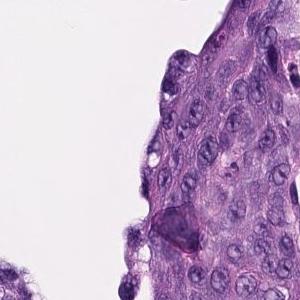
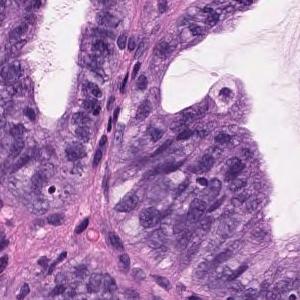
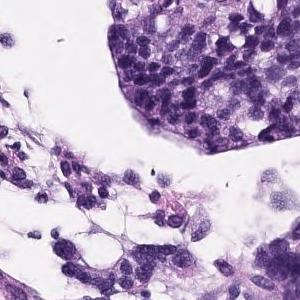
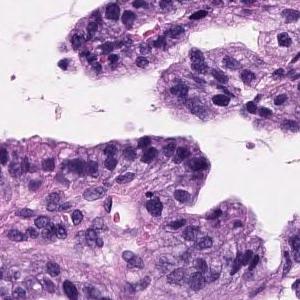
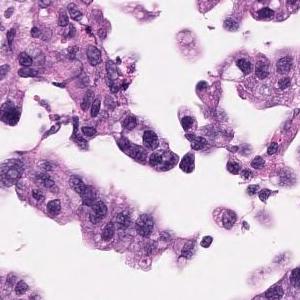
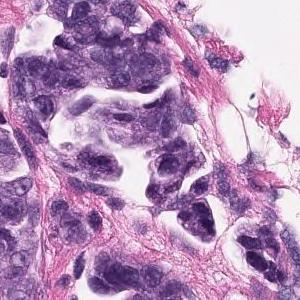
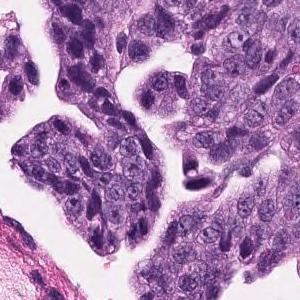
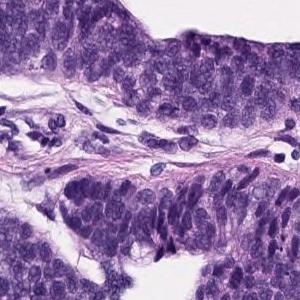
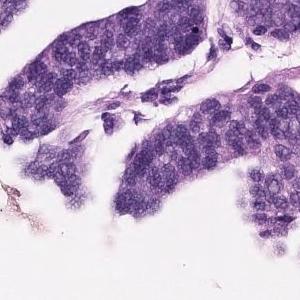
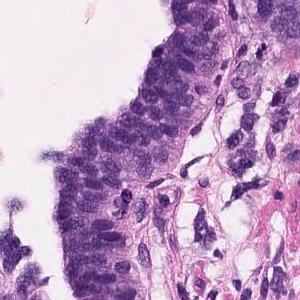
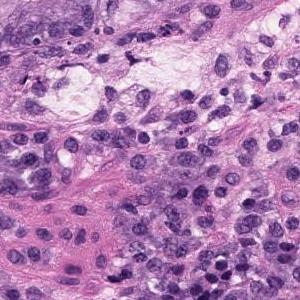
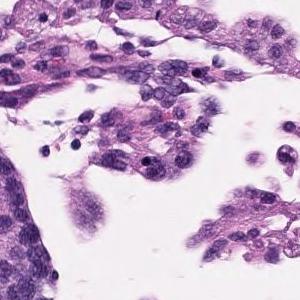
×20, H&E, 12 tiles cut from one stomach biopsy slide, each 300 × 300 pixels.
Report on the slide these tiles come from. The report and the diagnosis describe the slide as a whole, so these tiles may not show every feature named and may include non-tumor tissue.
Tumor cells are large, highly columnar, large club-shaped nuclei, and are associated with chromatin aggregation. Papillary adenocarcinoma.
